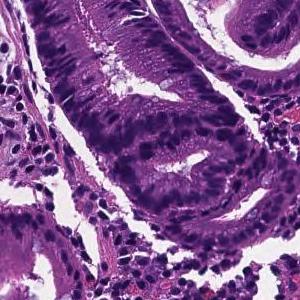
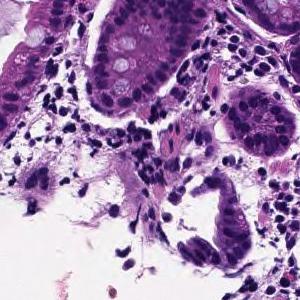
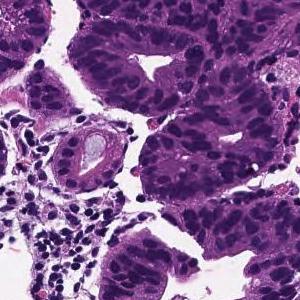
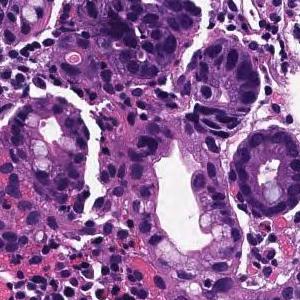
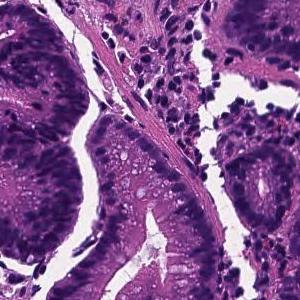
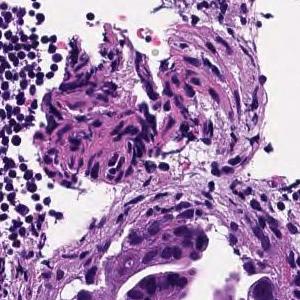
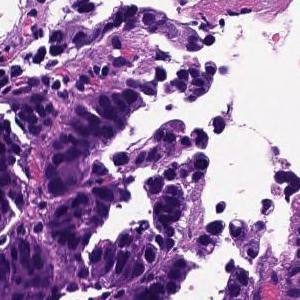
H&E · 7 tiles from the same stomach biopsy slide · 300 × 300 pixels each.
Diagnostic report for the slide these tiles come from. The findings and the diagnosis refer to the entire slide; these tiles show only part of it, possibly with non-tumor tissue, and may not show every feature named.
From the superficial epithelium to the muscularis mucosae, tumor tissue consisting of medium-sized and irregular glandular ducts infiltrating is observed. Well differentiated tubular adenocarcinoma
